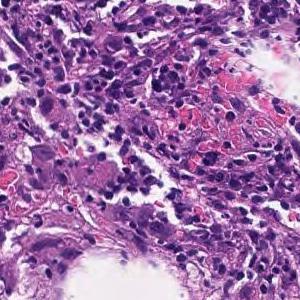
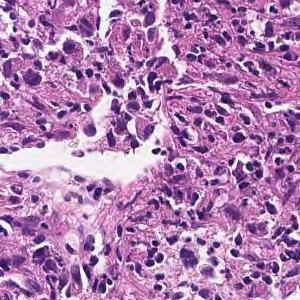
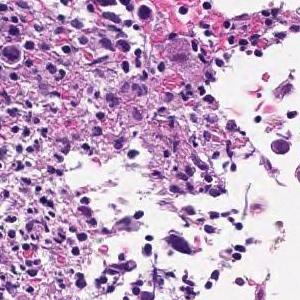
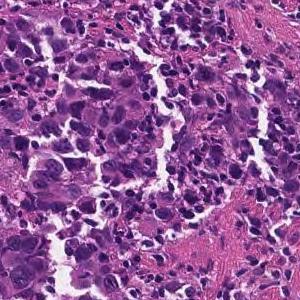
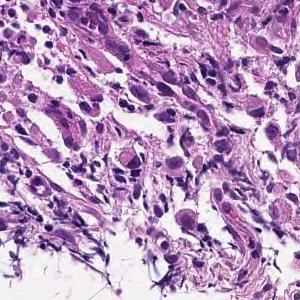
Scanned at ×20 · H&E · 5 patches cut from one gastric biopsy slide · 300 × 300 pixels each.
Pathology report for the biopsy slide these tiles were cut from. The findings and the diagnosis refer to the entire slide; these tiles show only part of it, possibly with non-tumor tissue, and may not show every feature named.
The superficial epithelium shows a large sheet-like shape, and some tumor tissue infiltrates with small irregular ducts. Poorly differentiated adenocarcinoma, solid-type (poorly differentiated adenocarcinoma, solid type)
Subtype: Poorly differentiated adenocarcinoma, solid type, a category of the Japanese Classification of Gastric Carcinoma; in the WHO 2019 classification it is tubular adenocarcinoma, poorly differentiated.
